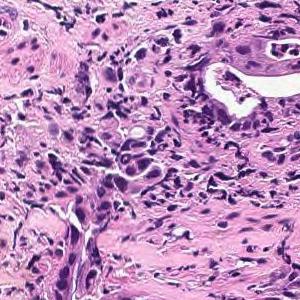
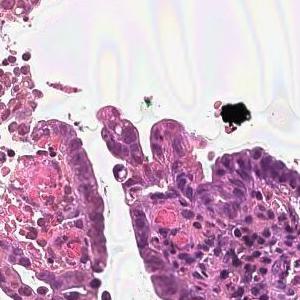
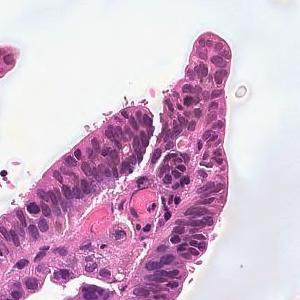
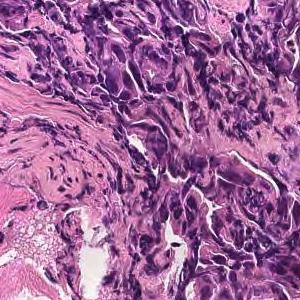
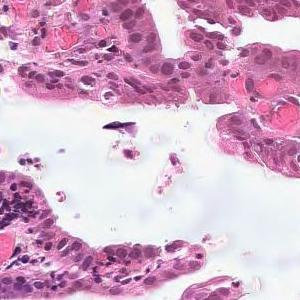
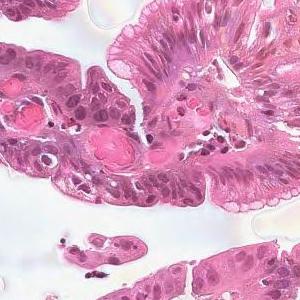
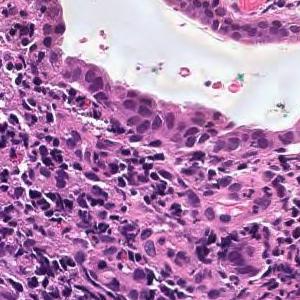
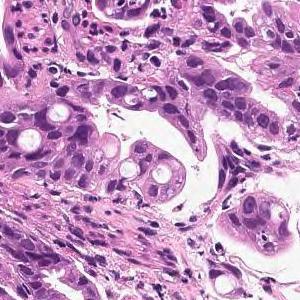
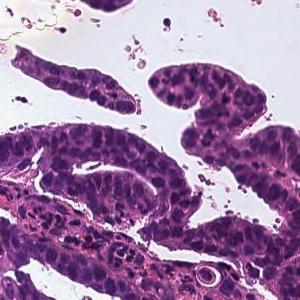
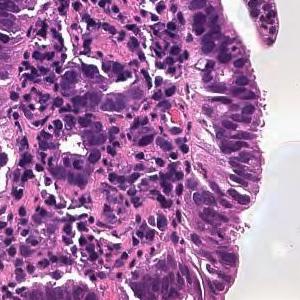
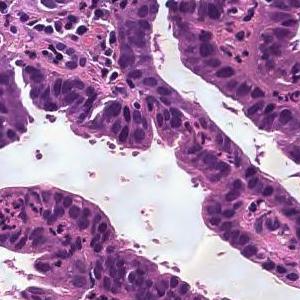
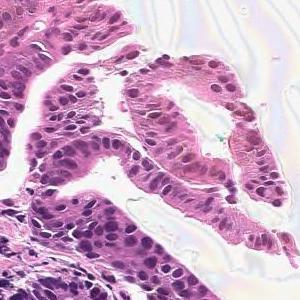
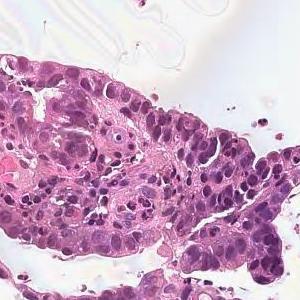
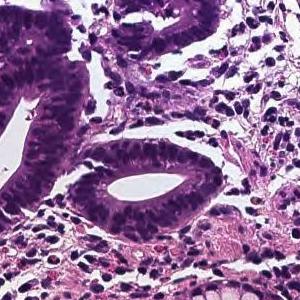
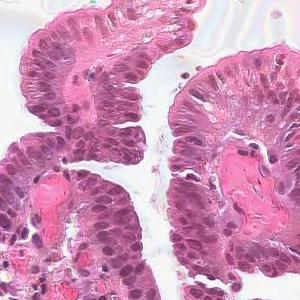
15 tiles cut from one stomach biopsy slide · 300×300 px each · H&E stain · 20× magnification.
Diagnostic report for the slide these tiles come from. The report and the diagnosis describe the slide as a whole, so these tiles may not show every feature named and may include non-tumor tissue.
From the superficial epithelium to the muscularis mucosae, tumor tissue consisting of medium-sized and irregular glandular ducts infiltrating is observed. Well differentiated tubular adenocarcinoma
